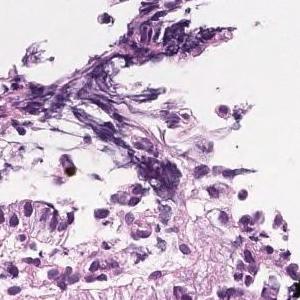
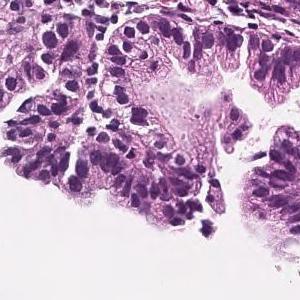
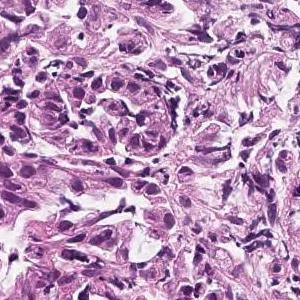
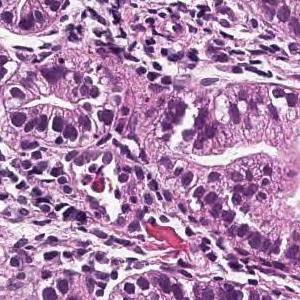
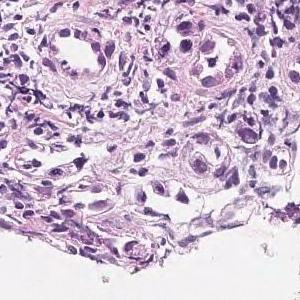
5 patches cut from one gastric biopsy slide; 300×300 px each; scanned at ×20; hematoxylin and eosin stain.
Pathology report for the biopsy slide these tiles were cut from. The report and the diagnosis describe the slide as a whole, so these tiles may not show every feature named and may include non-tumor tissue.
In the superficial epithelium, tumor tissue that invades by forming medium-sized to small, irregular ducts is observed. moderately differentiated tubular adenocarcinoma.
